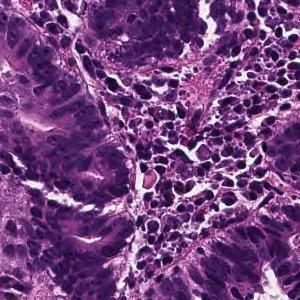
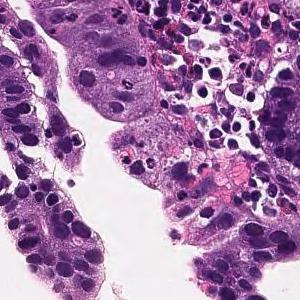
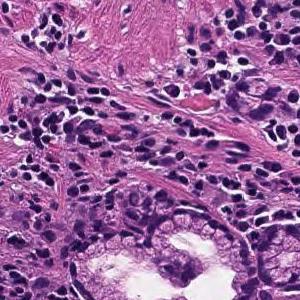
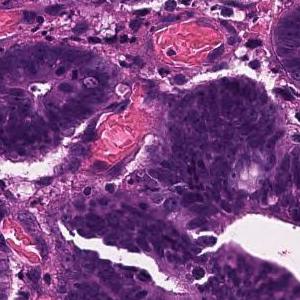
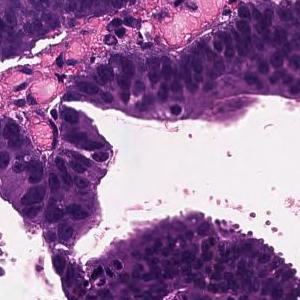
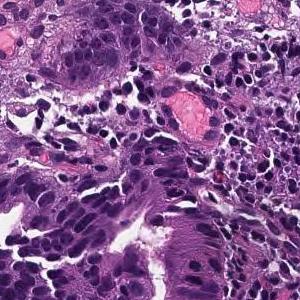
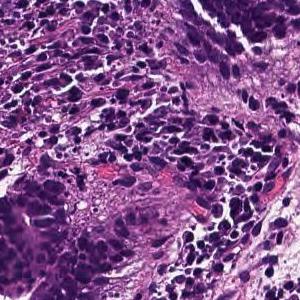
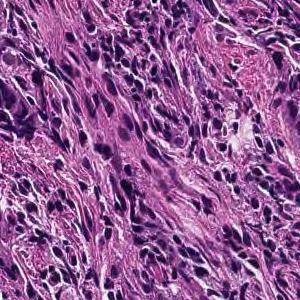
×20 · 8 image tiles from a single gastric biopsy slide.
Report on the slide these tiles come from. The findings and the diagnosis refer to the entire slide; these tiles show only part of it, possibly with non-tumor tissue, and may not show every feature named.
Tumor tissue consisting of large papillary structures is found in the superficial epithelium. Papillary adenocarcinoma.
